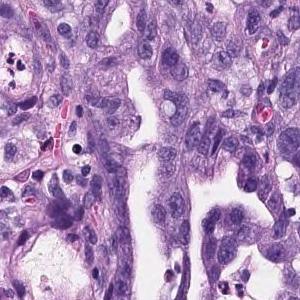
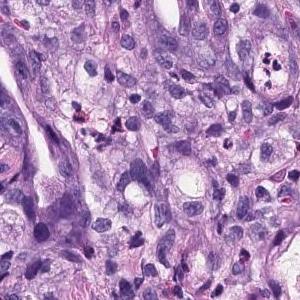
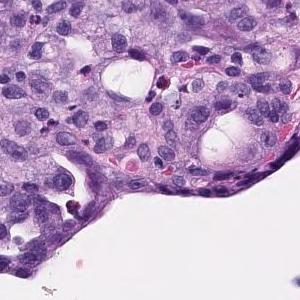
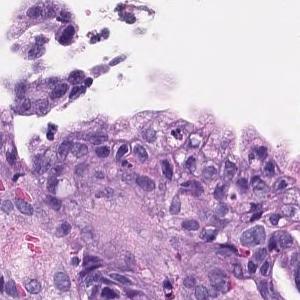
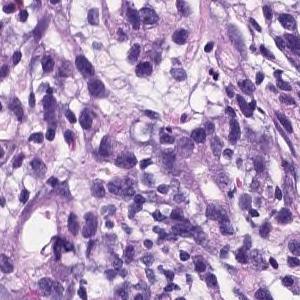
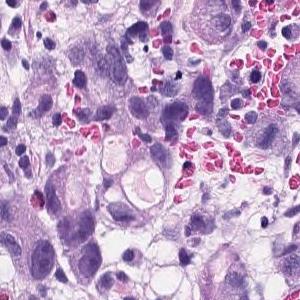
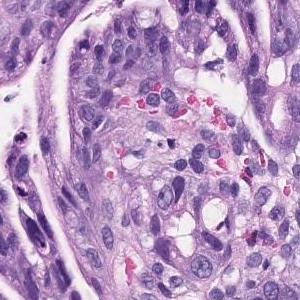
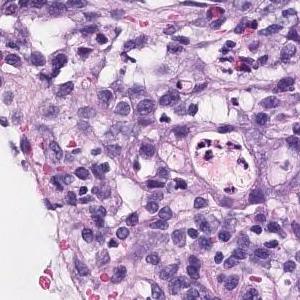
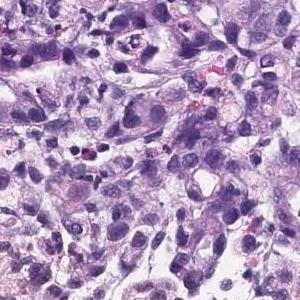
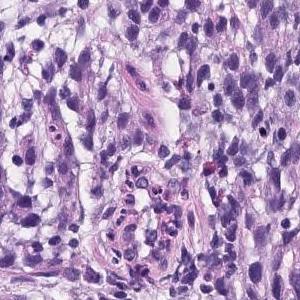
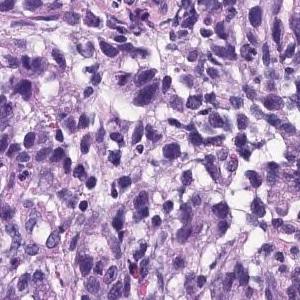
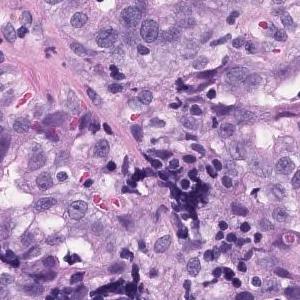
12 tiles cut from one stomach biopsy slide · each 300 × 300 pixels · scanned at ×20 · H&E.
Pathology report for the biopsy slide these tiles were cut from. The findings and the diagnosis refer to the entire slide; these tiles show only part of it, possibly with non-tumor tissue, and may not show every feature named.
There are atypical l cells with atypical nuclei forming cord-like or irregular atypical ducts from solidity and proliferating in a comprehensive manner. Poorly differentiated adenocarcinoma, Moderately differentiated adenocarcinoma (poorly differentiated adenocarcinoma, solid type moderately differentiated tubular adenocarcinoma)
Classified as moderately to poorly differentiated adenocarcinoma.
The term "solid type" comes from the Japanese Classification of Gastric Carcinoma; the WHO 2019 equivalent is tubular adenocarcinoma, poorly differentiated.
